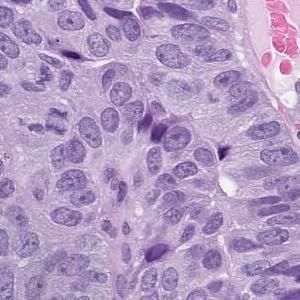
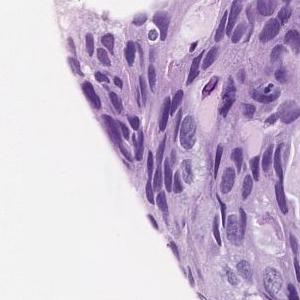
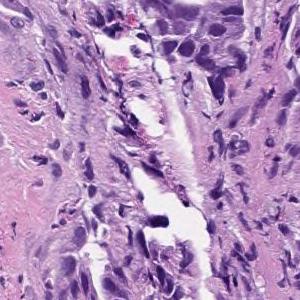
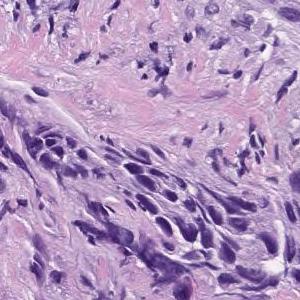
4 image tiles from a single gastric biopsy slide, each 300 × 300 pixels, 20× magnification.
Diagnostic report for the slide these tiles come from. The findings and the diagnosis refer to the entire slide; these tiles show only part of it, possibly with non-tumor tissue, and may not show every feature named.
In the superficial epithelium, tumor tissue that invades by forming medium-sized to small, irregular ducts is observed. moderately differentiated tubular adenocarcinoma.
